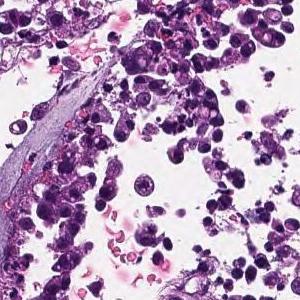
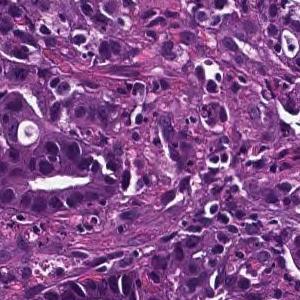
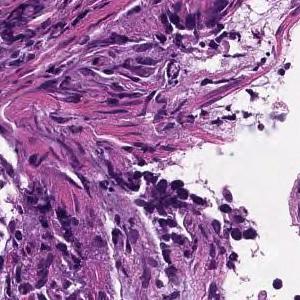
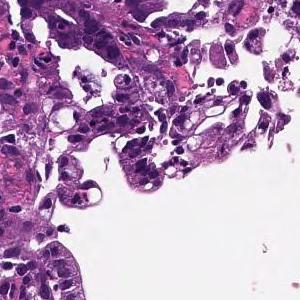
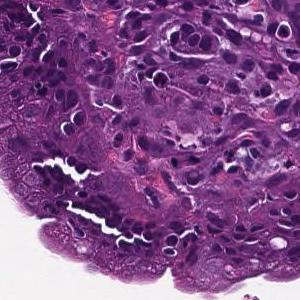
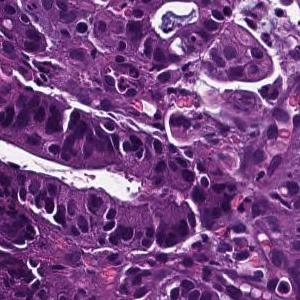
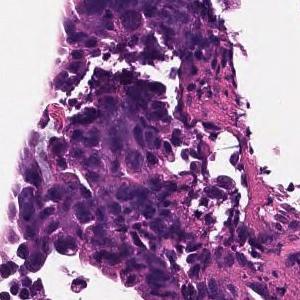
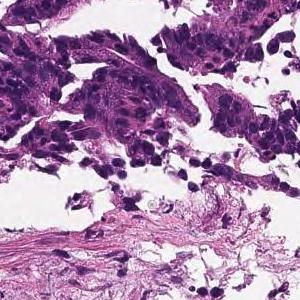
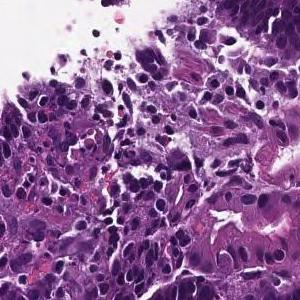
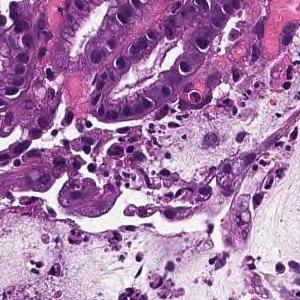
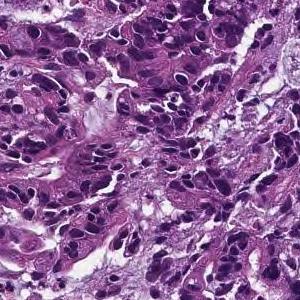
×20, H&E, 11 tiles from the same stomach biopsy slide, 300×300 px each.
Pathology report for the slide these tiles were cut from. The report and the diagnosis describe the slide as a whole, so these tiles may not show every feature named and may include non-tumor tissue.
On the superficial epithelium, tumor tissue consisting of large irregular glandular ducts partially fused and infiltrated is observed. Well to moderately differentiated tubular adenocarcinoma (well differentiated tubular adenocarcinoma, moderately differentiated tubular adenocarcinoma)
Tumor subtype: well to moderately differentiated tubular adenocarcinoma.
